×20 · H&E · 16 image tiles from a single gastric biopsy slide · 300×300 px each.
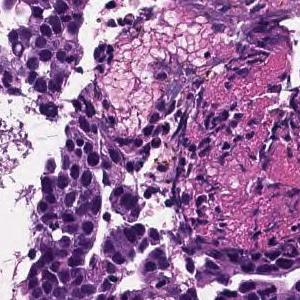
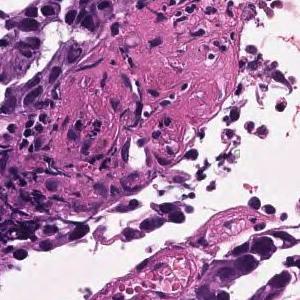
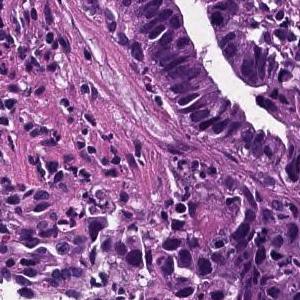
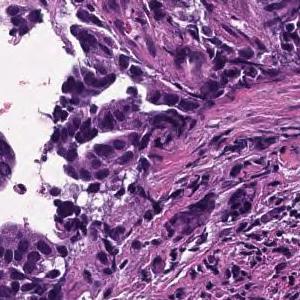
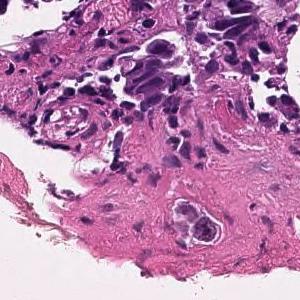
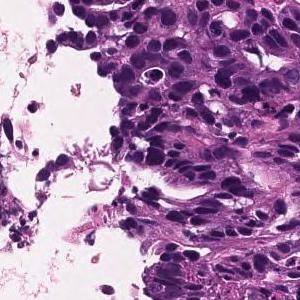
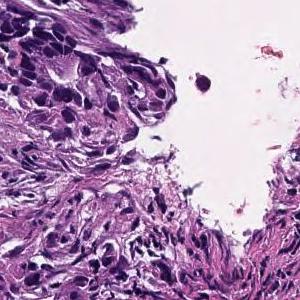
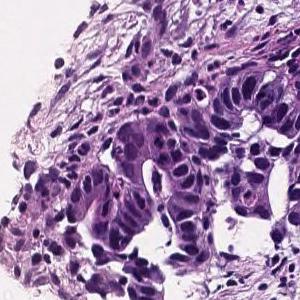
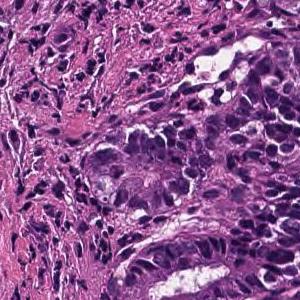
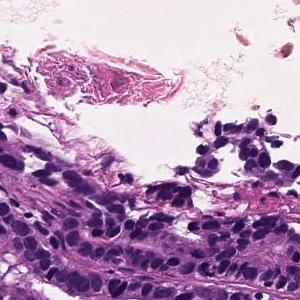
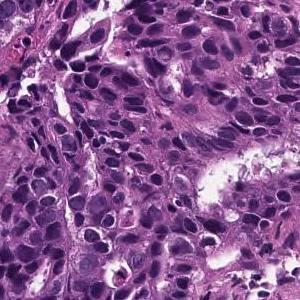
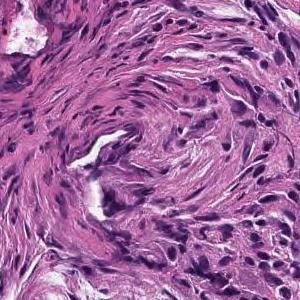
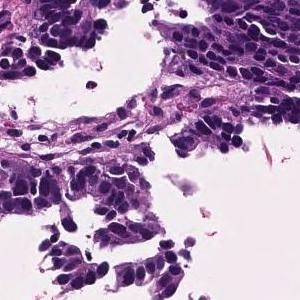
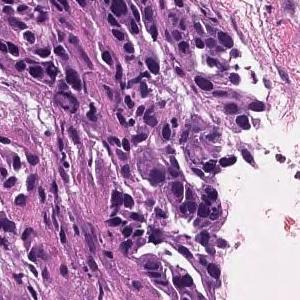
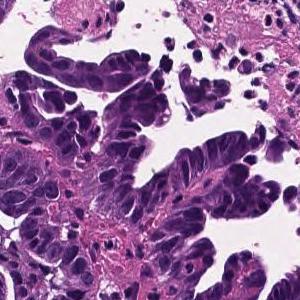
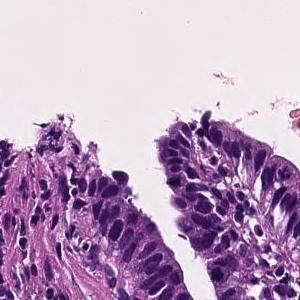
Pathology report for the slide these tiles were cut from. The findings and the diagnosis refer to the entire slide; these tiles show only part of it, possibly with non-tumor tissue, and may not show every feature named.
Tumor cells are large, highly columnar, large club-shaped nuclei, and are associated with chromatin aggregation. Papillary adenocarcinoma.
